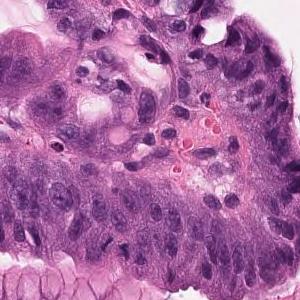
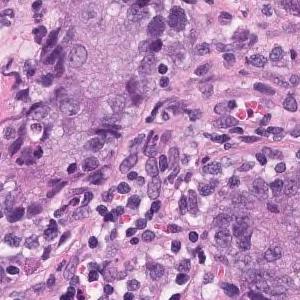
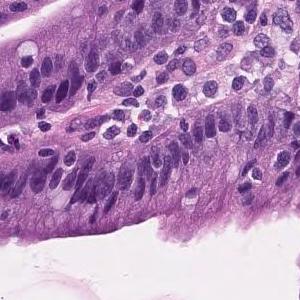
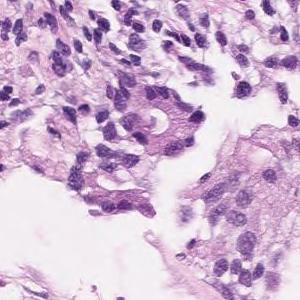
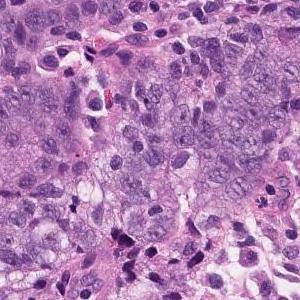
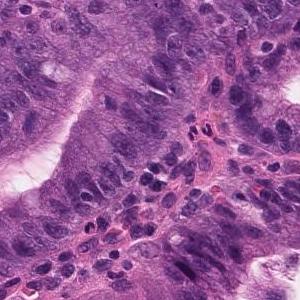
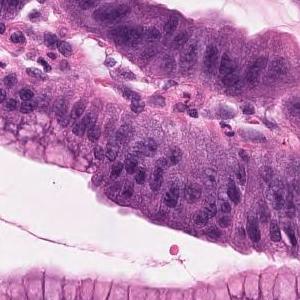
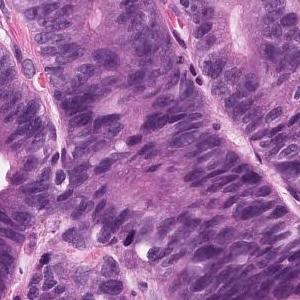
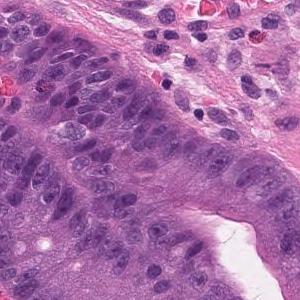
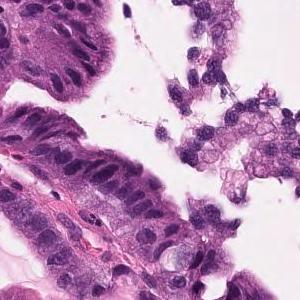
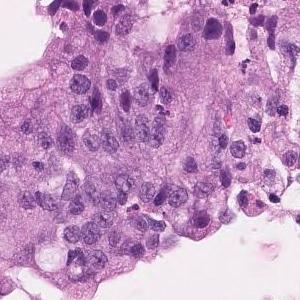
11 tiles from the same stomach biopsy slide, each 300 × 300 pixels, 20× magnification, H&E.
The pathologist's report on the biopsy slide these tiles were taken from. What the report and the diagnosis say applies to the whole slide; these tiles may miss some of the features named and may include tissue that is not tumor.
On the superficial epithelium, tumor tissue consisting of large, irregular glandular ducts partially fused and infiltrated is observed. Well to moderately differentiated tubular adenocarcinoma (well differentiated tubular adenocarcinoma, moderately differentiated tubular adenocarcinoma)
Tumor subtype: well to moderately differentiated tubular adenocarcinoma.
